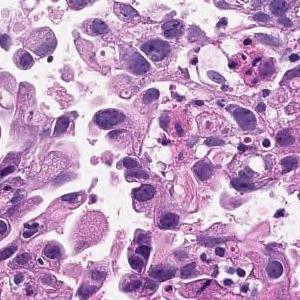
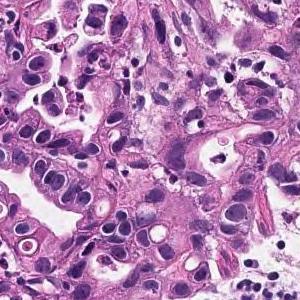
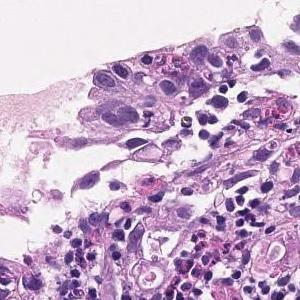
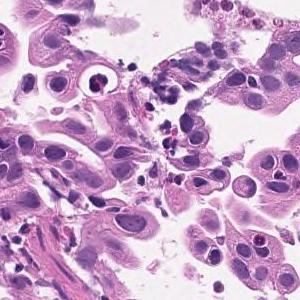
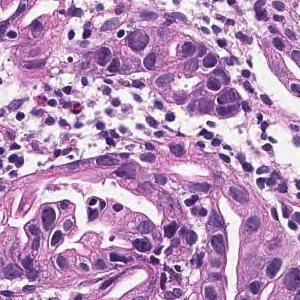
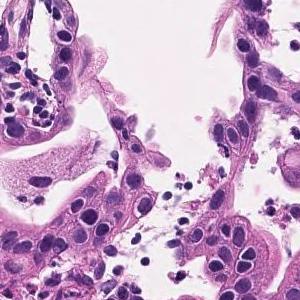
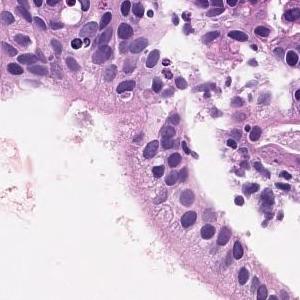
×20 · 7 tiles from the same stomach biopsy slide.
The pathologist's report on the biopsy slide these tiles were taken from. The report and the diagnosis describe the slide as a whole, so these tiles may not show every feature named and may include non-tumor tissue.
In the superficial epithelium, tumor tissue that invades by forming medium-sized to small, irregular ducts is observed. moderately differentiated tubular adenocarcinoma.
